10 tiles from the same stomach biopsy slide; 300 × 300 pixels each; ×20; H&E stain.
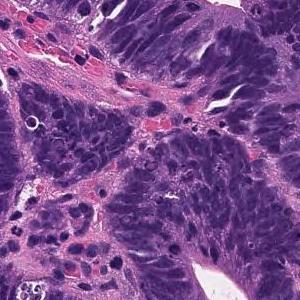
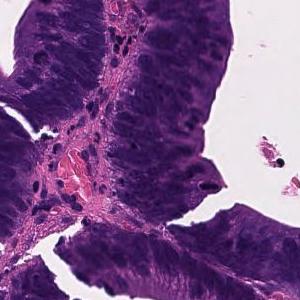
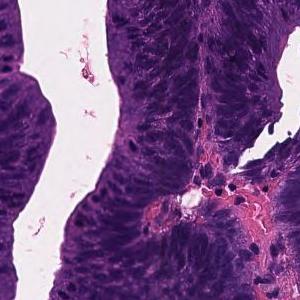
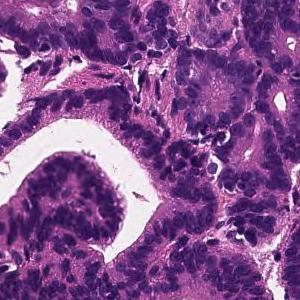
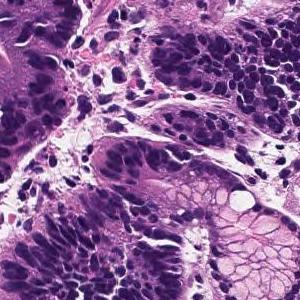
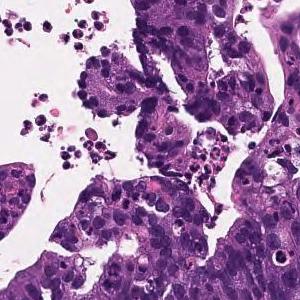
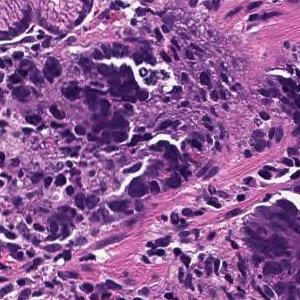
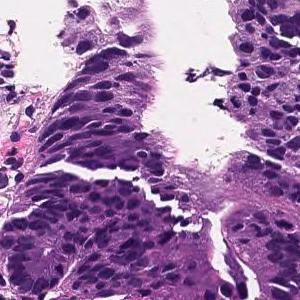
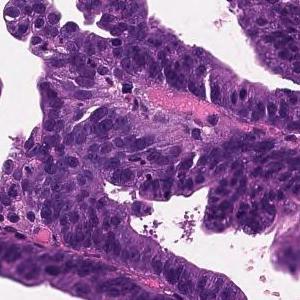
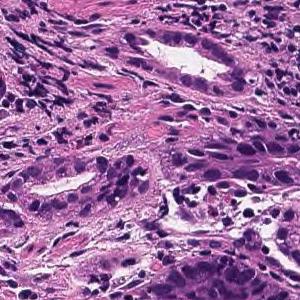
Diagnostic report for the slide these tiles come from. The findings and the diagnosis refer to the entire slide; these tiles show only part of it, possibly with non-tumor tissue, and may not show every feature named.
Tumor tissue consisting of large papillary structures is found in the superficial epithelium. Papillary adenocarcinoma.
